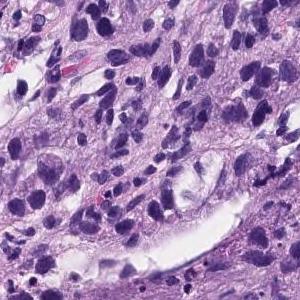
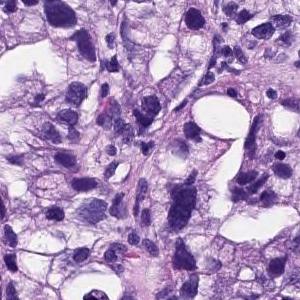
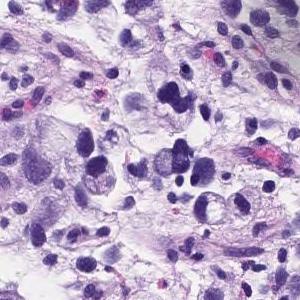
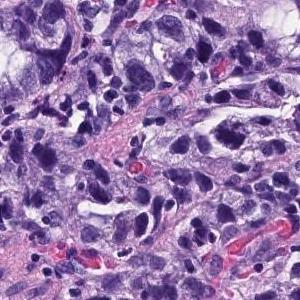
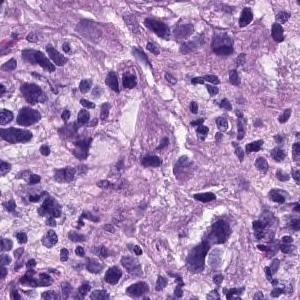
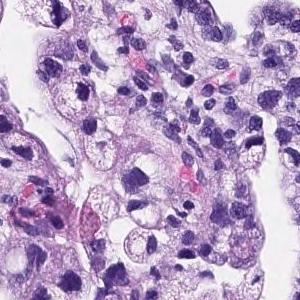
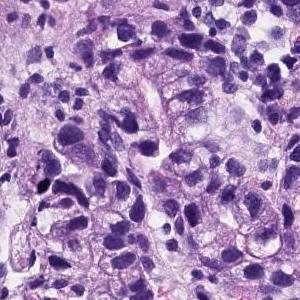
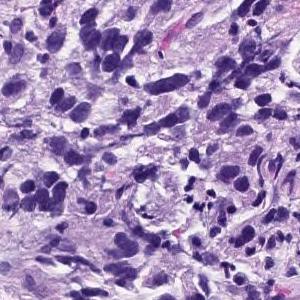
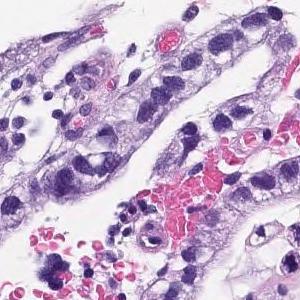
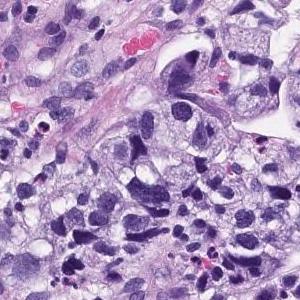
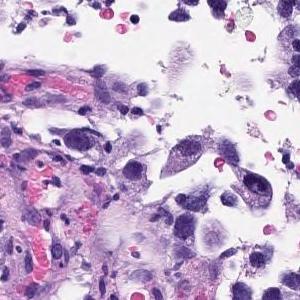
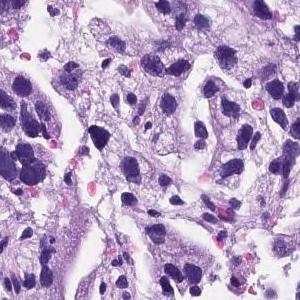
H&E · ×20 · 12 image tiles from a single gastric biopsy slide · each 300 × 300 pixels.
Diagnostic report for the slide these tiles come from. What the report and the diagnosis say applies to the whole slide; these tiles may miss some of the features named and may include tissue that is not tumor.
Medium to small, irregular glandular ducts are formed in the superficial epithelium, and in some cases, the glandular ducts are fused to show solid alveolar lesions and infiltrating tumor tissue is observed. Poorly differentiated adenocarcinoma, Moderately differentiated adenocarcinoma.
Dataset label: moderately differentiated tubular adenocarcinoma.
